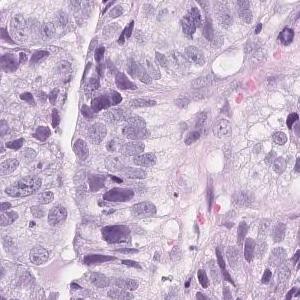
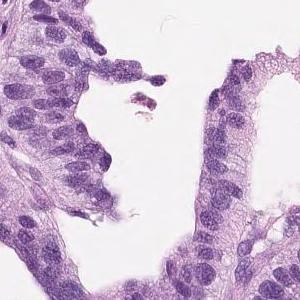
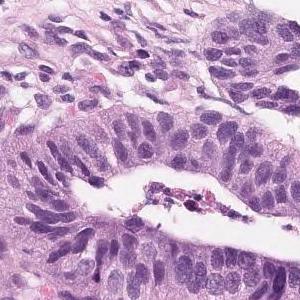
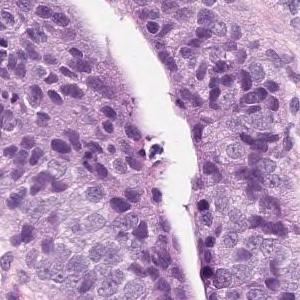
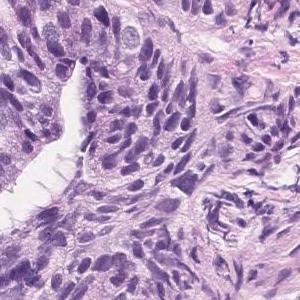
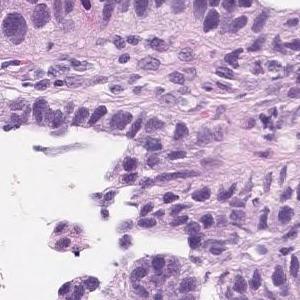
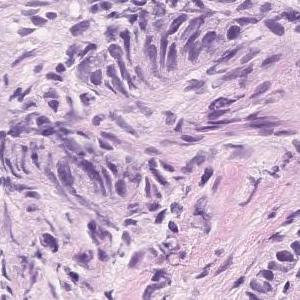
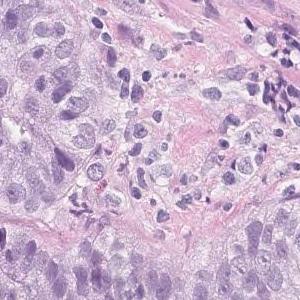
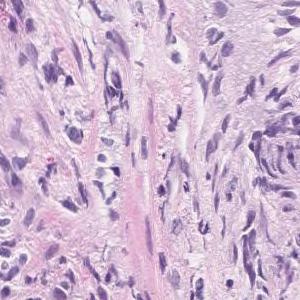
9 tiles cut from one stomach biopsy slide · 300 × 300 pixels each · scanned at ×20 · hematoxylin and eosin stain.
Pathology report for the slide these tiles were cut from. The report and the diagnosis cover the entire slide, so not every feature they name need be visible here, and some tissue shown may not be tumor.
Tumor tissue in which highly columnar atypical epithelial cells with nuclear enlargement and increased nuclear chromatin show papillary to papillary ductal structure and proliferate is observed. Papillary adenocarcinoma.
